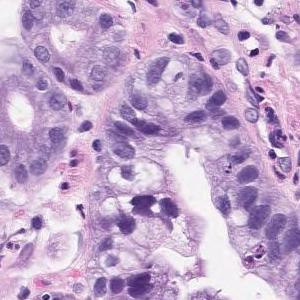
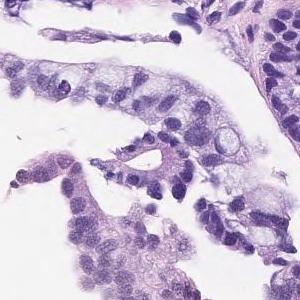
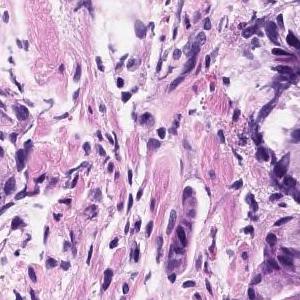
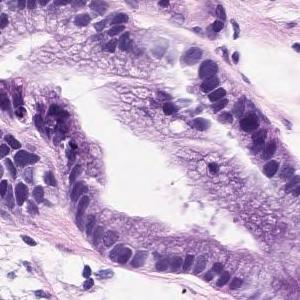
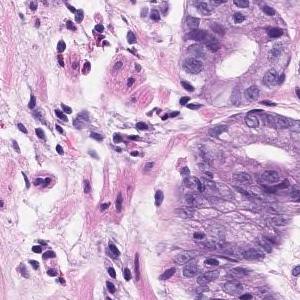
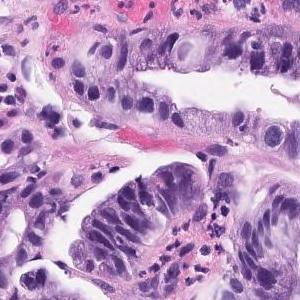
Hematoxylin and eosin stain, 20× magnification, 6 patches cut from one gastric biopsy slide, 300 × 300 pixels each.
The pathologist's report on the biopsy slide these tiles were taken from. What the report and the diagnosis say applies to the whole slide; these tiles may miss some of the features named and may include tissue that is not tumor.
The superficial tumors shows large papillary structures or large and small ducts and infiltrates. Papillary adenocarcinoma.
